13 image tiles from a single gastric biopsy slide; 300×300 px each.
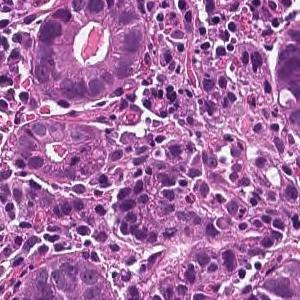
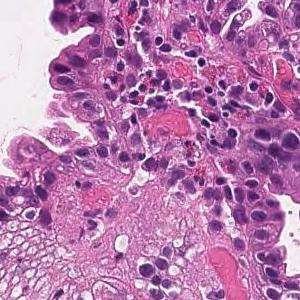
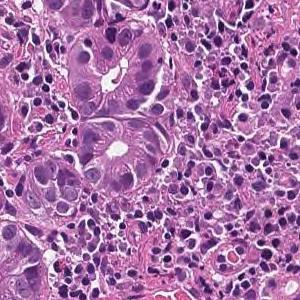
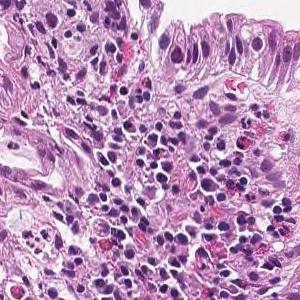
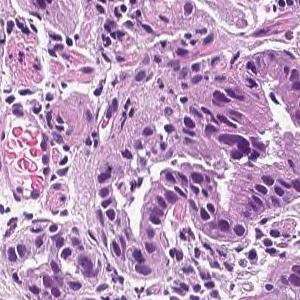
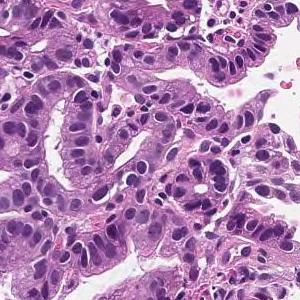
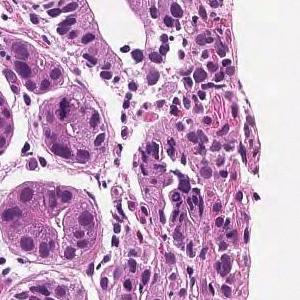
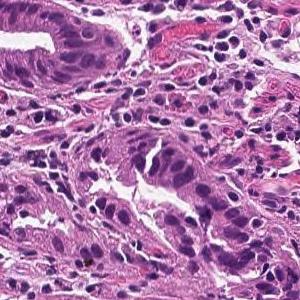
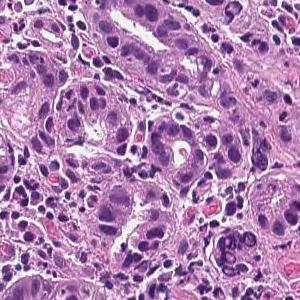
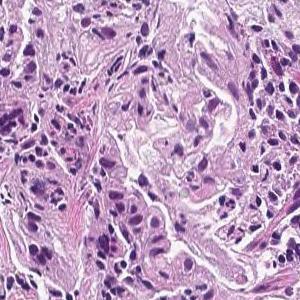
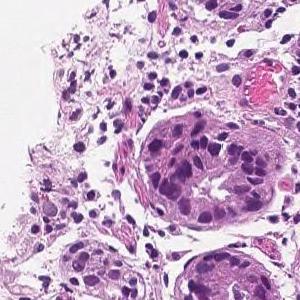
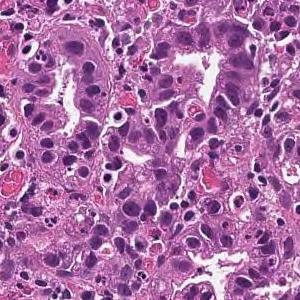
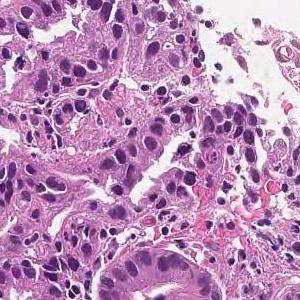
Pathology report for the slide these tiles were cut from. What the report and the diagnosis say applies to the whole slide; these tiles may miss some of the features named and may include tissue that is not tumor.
On the superficial epithelium, tumor tissue consisting of large irregular glandular ducts partially fused and infiltrated is observed. Well to moderately differentiated tubular adenocarcinoma (well differentiated tubular adenocarcinoma, moderately differentiated tubular adenocarcinoma)
Histological subtype: Well to moderately differentiated tubular adenocarcinoma.
